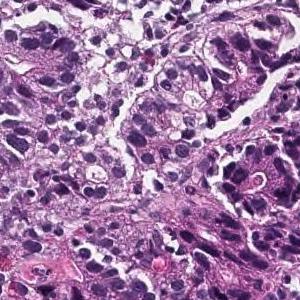
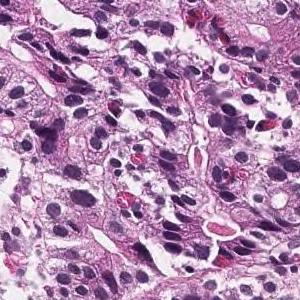
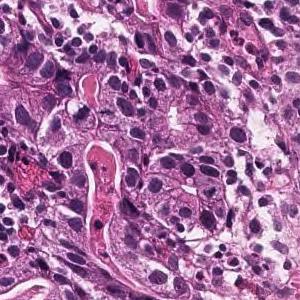
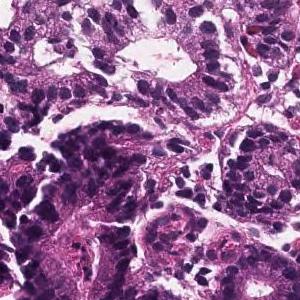
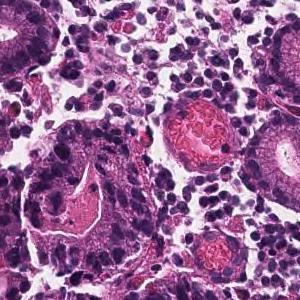
Hematoxylin and eosin stain, 5 tiles cut from one stomach biopsy slide.
Report on the slide these tiles come from. The findings and the diagnosis refer to the entire slide; these tiles show only part of it, possibly with non-tumor tissue, and may not show every feature named.
Tumor tissue that forms medium-sized, irregular glandular ducts and is papillary and proliferate is observed confined to the mucosal epithelium. moderately differentiated tubular adenocarcinoma.
